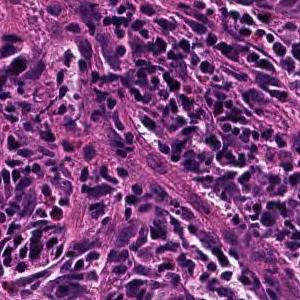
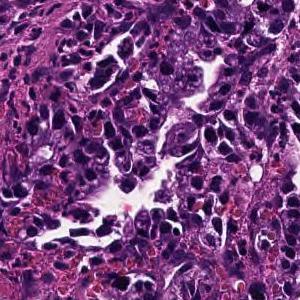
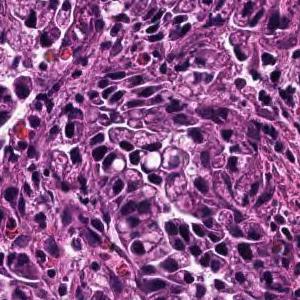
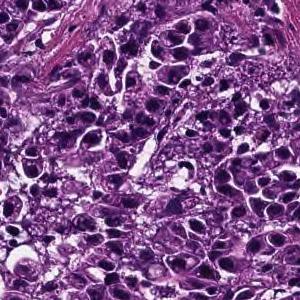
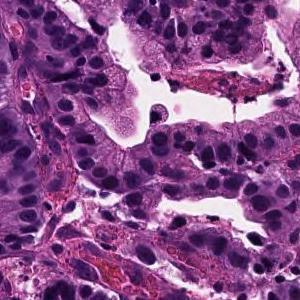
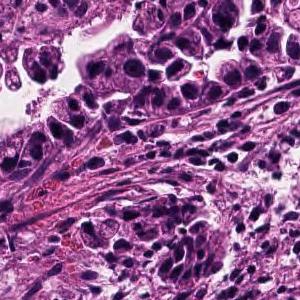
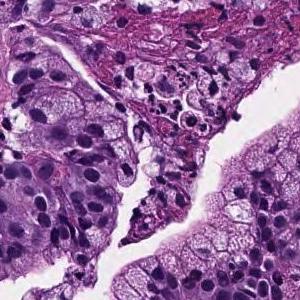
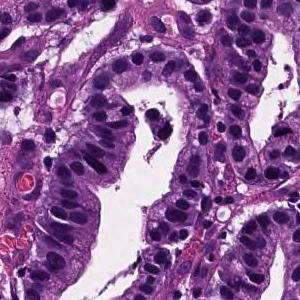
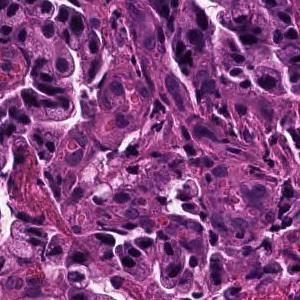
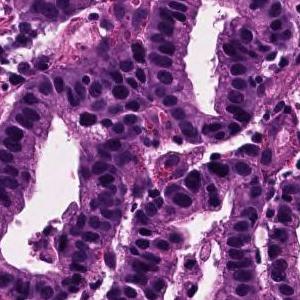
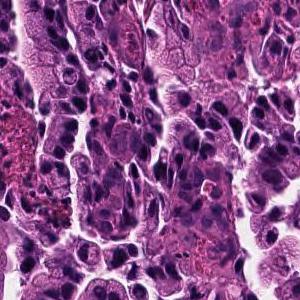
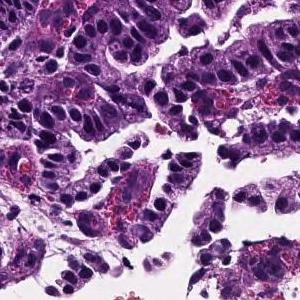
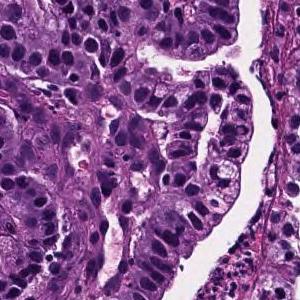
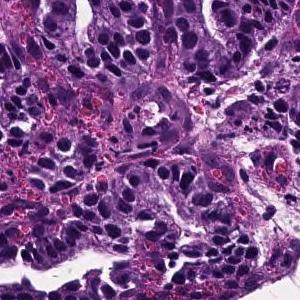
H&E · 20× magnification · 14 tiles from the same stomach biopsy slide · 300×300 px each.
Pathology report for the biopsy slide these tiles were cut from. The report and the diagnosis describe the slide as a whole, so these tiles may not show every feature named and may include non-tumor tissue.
Tumor cells are large, highly columnar, large club-shaped nuclei, and are associated with chromatin aggregation. Papillary adenocarcinoma.
